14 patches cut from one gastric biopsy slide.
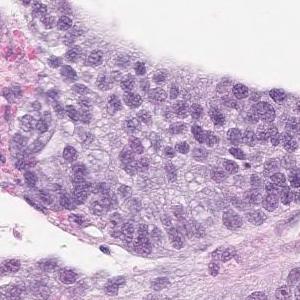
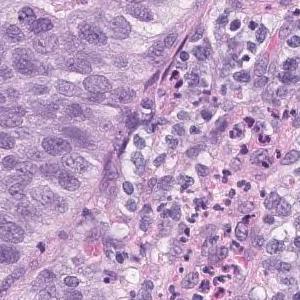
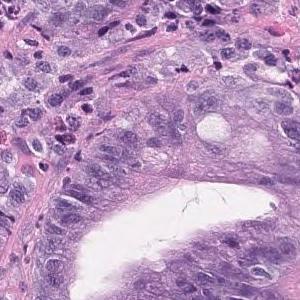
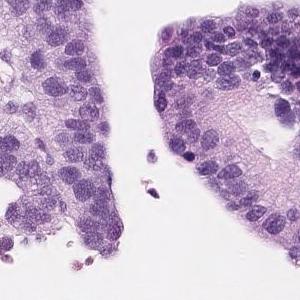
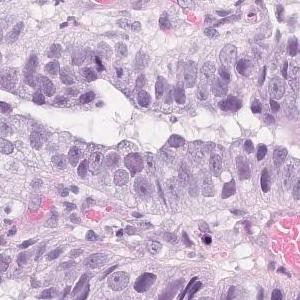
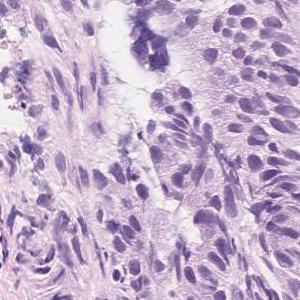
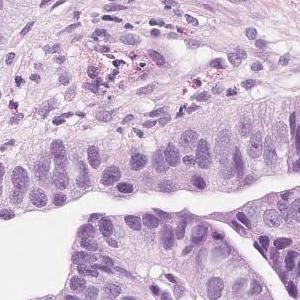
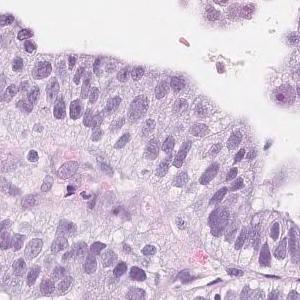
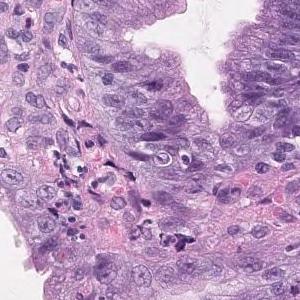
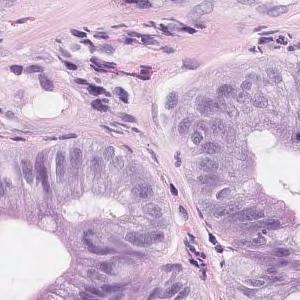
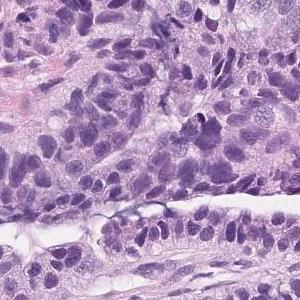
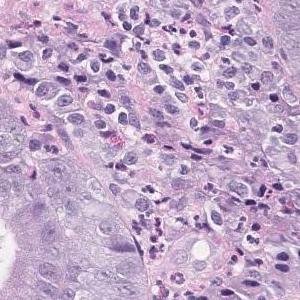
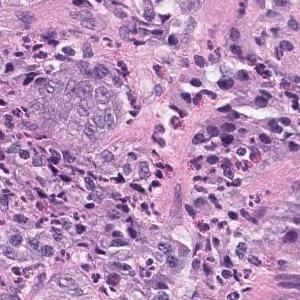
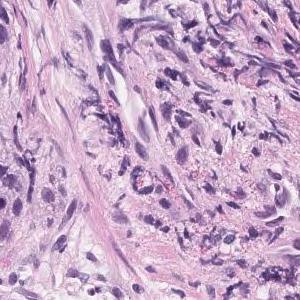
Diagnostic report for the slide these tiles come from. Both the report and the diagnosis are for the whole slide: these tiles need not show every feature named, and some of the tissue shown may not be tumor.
Tumor tissue in which highly columnar atypical epithelial cells with nuclear enlargement and increased nuclear chromatin show papillary to papillary ductal structure and proliferate is observed. Papillary adenocarcinoma.
